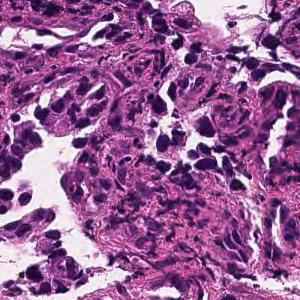
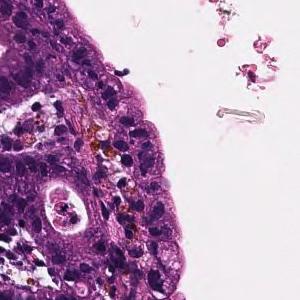
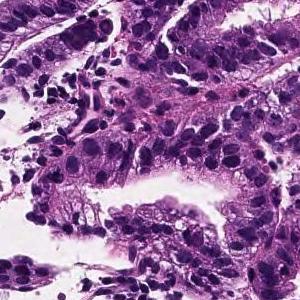
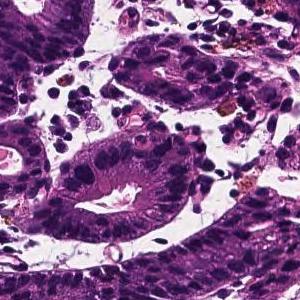
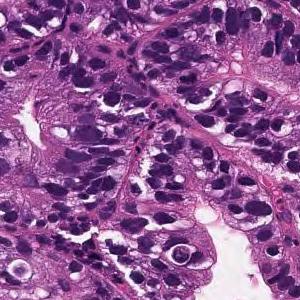
5 tiles from the same stomach biopsy slide, hematoxylin and eosin stain, scanned at ×20.
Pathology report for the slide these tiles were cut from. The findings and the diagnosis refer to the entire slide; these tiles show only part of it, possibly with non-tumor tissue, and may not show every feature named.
From the superficial epithelium to the muscularis mucosae, tumor tissue consisting of medium-sized and irregular glandular ducts infiltrating is observed. Well differentiated tubular adenocarcinoma
